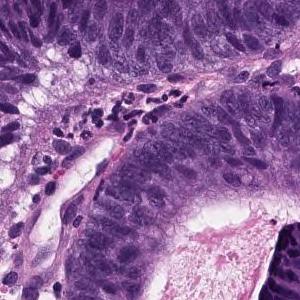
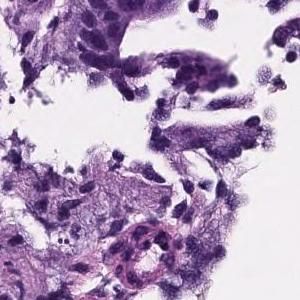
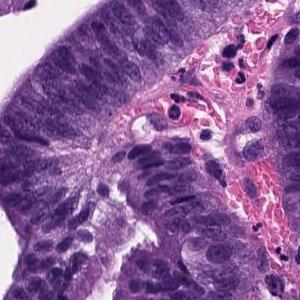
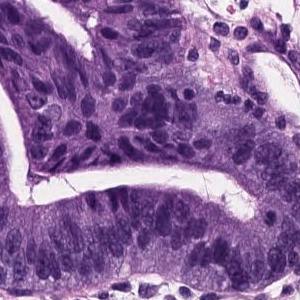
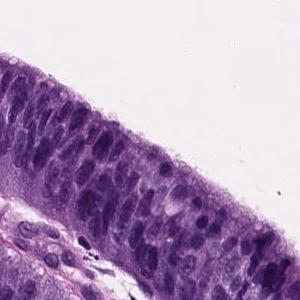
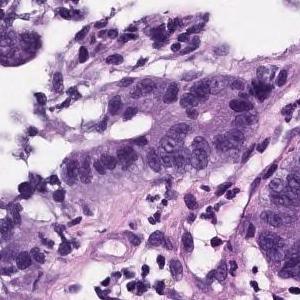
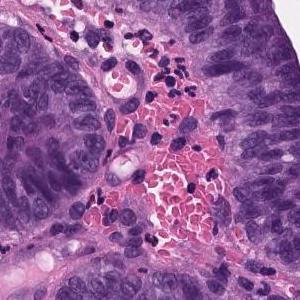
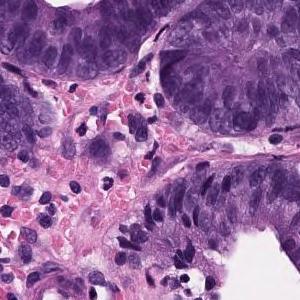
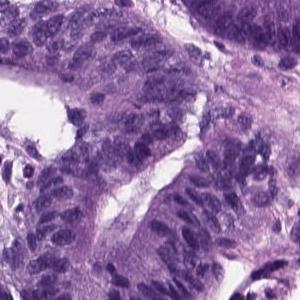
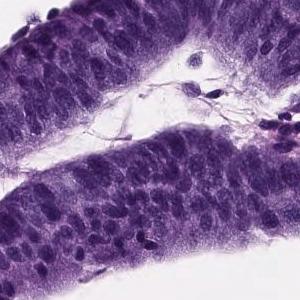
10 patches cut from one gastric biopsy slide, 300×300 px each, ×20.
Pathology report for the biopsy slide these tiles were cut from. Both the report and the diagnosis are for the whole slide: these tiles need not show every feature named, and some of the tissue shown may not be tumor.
Papillo-tubular growth of atypical tubules with nuclear swelling is observed. Well differentiated tubular adenocarcinoma
